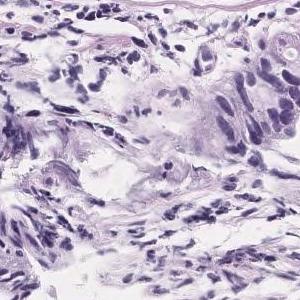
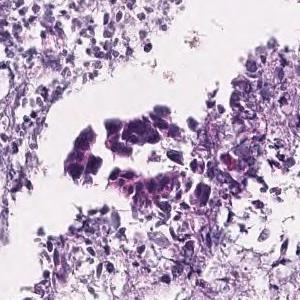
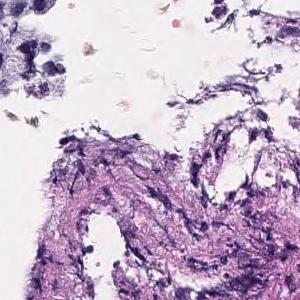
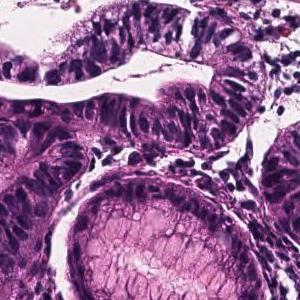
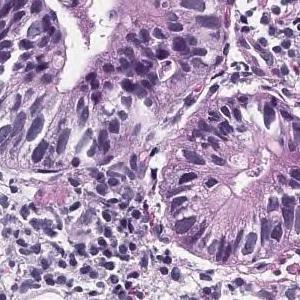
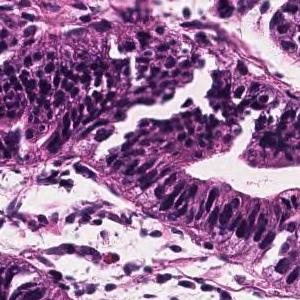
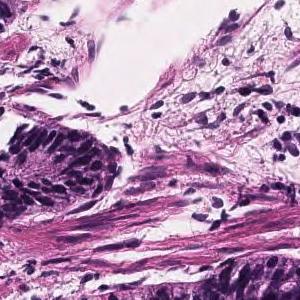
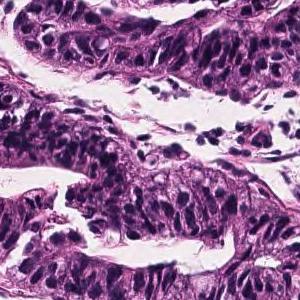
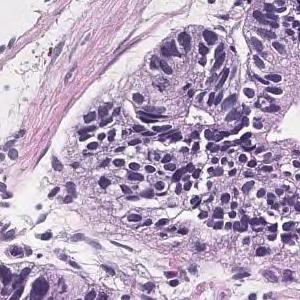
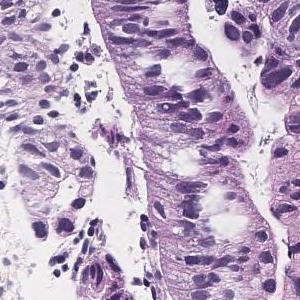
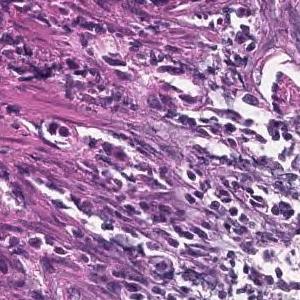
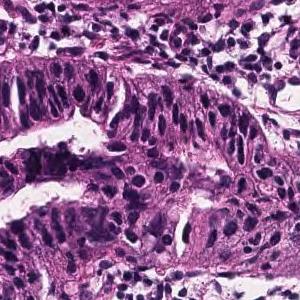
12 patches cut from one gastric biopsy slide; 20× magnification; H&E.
Pathology report for the biopsy slide these tiles were cut from. Both the report and the diagnosis are for the whole slide: these tiles need not show every feature named, and some of the tissue shown may not be tumor.
Tumor cells are large, highly columnar, large club-shaped nuclei, and are associated with chromatin aggregation. Papillary adenocarcinoma.
